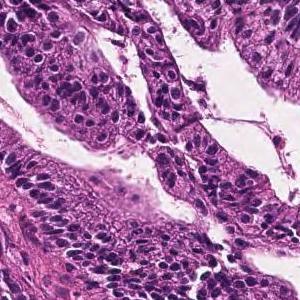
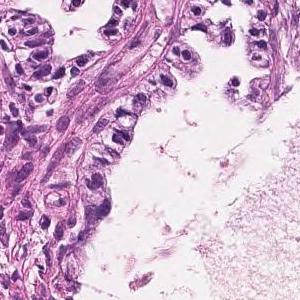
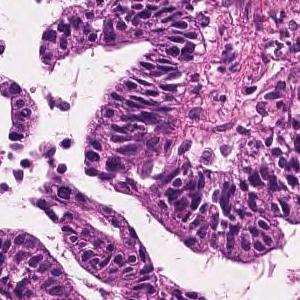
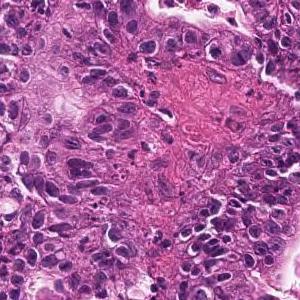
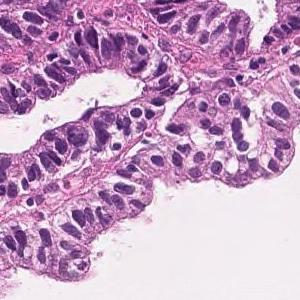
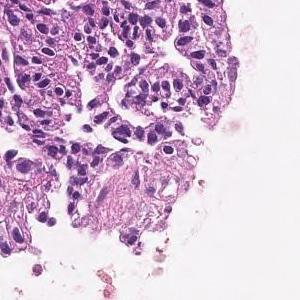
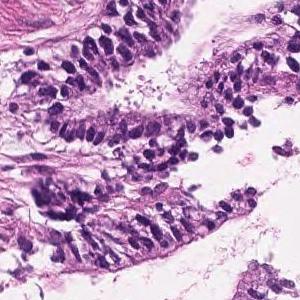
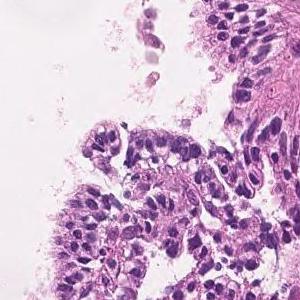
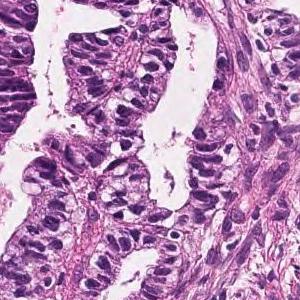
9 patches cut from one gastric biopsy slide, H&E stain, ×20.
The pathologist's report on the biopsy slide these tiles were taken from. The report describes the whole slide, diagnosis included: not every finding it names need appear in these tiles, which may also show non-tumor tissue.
Tumor cells are large, highly columnar, large club-shaped nuclei, and are associated with chromatin aggregation. Papillary adenocarcinoma.
